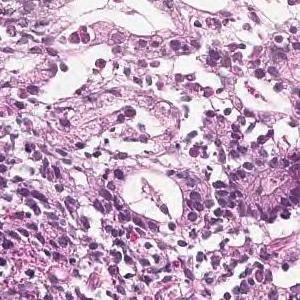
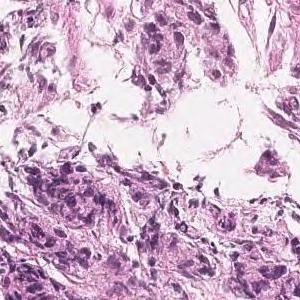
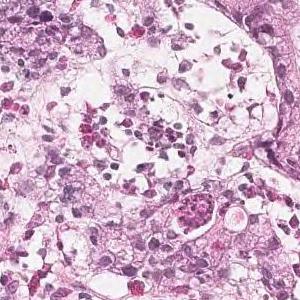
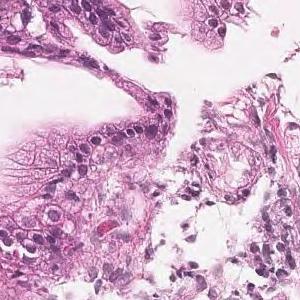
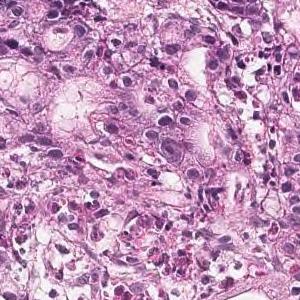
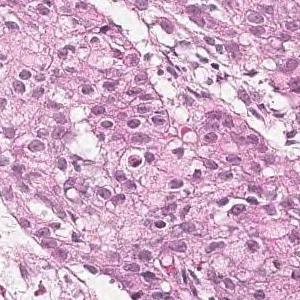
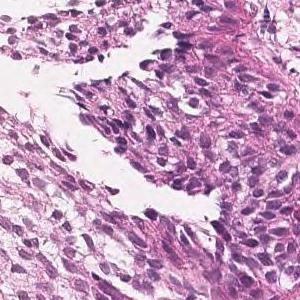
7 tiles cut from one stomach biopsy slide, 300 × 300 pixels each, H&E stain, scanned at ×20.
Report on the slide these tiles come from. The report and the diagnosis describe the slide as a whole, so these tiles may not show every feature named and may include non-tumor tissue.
Tumor tissue consisting of medium-sized, cord-like or irregular glandular infiltration is observed in the superficial epithelium. Poorly differentiated adenocarcinoma, non-solid type or moderately differentiated tubular adenocarcinoma
"Non-solid type" is a category of the Japanese Classification of Gastric Carcinoma.
